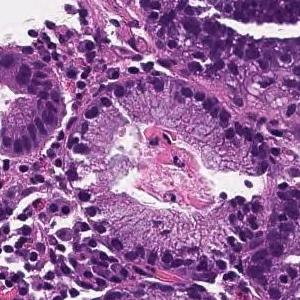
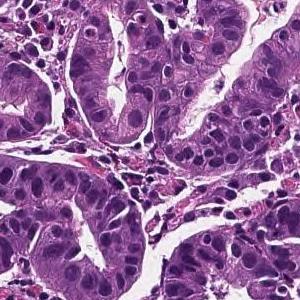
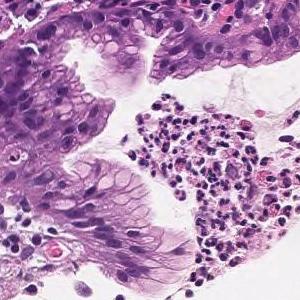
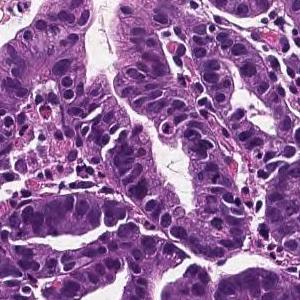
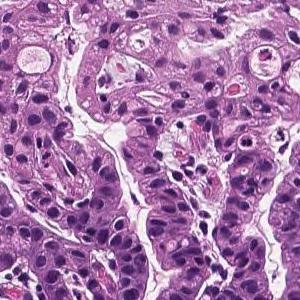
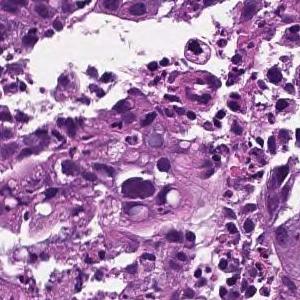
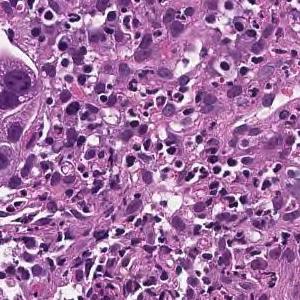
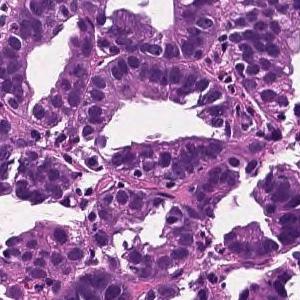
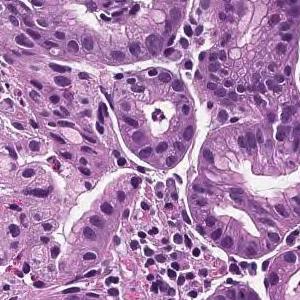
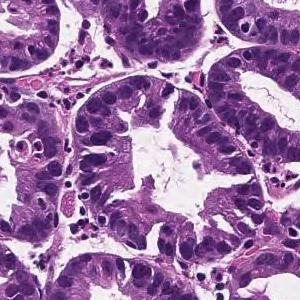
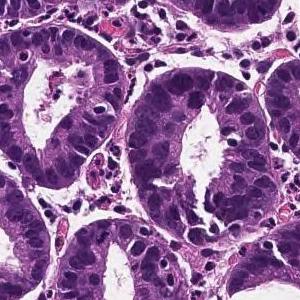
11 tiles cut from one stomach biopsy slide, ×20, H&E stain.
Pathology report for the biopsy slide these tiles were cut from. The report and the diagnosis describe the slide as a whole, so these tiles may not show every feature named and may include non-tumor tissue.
On the superficial epithelium, tumor tissue consisting of medium-sized irregular or small round gland ducts showing a small cord-like shape and infiltrating is observed. Well differentiated tubular adenocarcinoma or Poorly differentiated adenocarcinoma, non-solid type
Labeled in the dataset as well differentiated tubular adenocarcinoma.
The non-solid type named here is a Japanese Classification of Gastric Carcinoma category.
